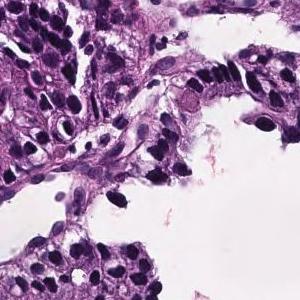
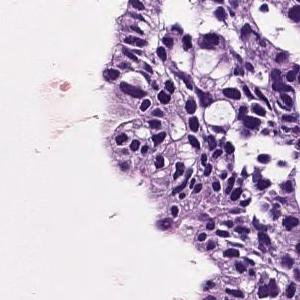
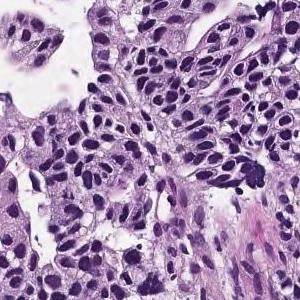
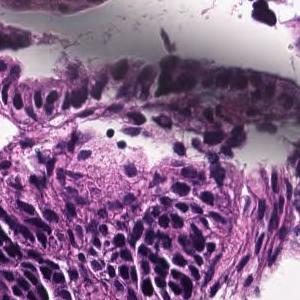
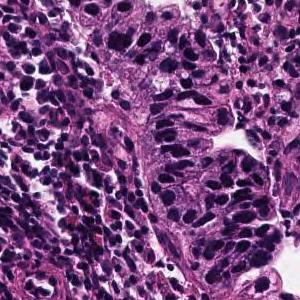
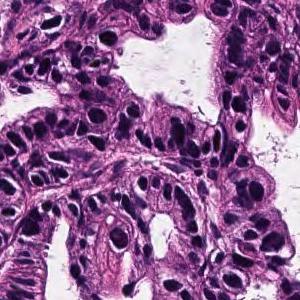
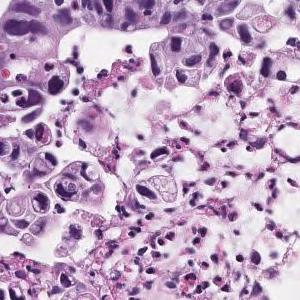
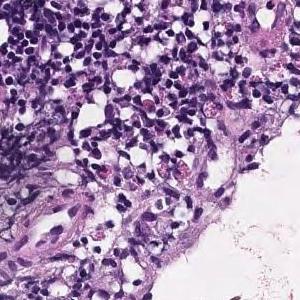
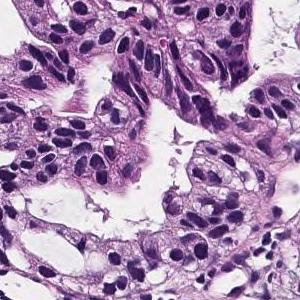
H&E · 20× magnification · 9 tiles from the same stomach biopsy slide.
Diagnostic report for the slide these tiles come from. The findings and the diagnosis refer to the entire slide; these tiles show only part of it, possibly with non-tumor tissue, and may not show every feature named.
Tumor cells are large, highly columnar, large club-shaped nuclei, and are associated with chromatin aggregation. Papillary adenocarcinoma.
